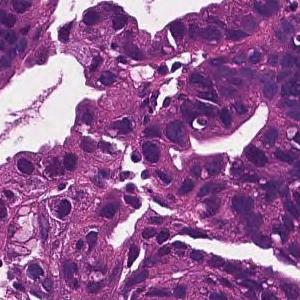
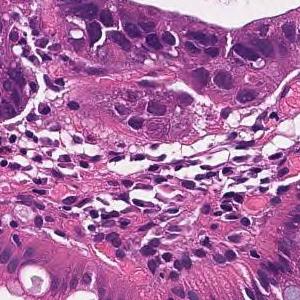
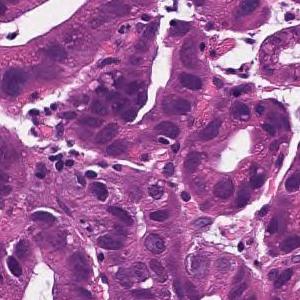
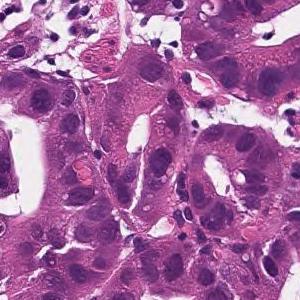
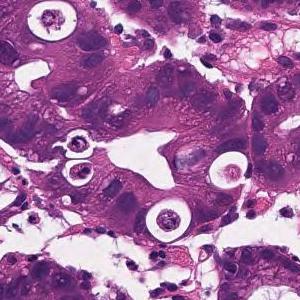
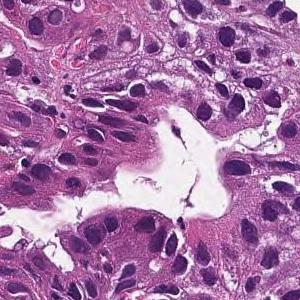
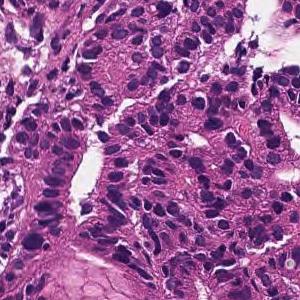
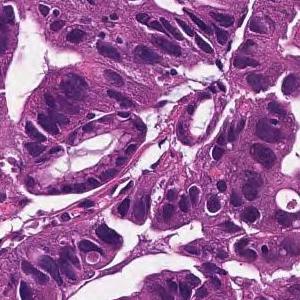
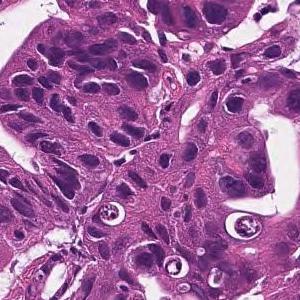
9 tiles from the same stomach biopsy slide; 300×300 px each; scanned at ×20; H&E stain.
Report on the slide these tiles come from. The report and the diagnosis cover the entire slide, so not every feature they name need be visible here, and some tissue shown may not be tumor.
In the superficial epithelium, tumor tissue that invades by forming medium-sized to small, irregular ducts is observed. moderately differentiated tubular adenocarcinoma.
